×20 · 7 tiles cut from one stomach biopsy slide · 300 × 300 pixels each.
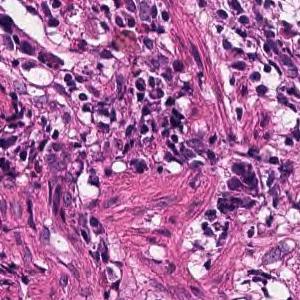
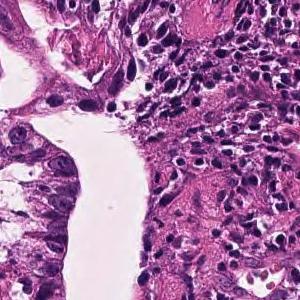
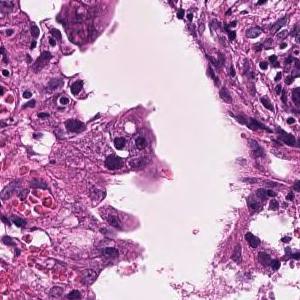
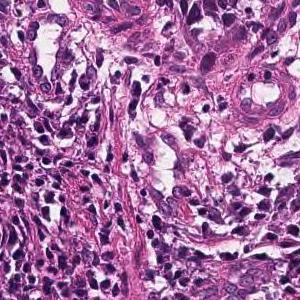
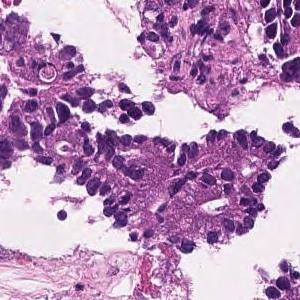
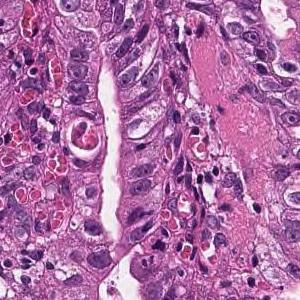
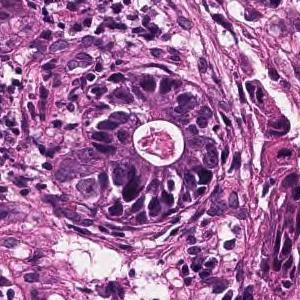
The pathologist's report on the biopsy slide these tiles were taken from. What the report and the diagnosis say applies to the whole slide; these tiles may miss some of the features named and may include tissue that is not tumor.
From the superficial epithelium to the muscularis mucosae, tumor tissue infiltrating by forming medium-sized irregular gland ducts is observed. Large tumor cells exhibit large nucleus and hyperchromatism. Well differentiated tubular adenocarcinoma
